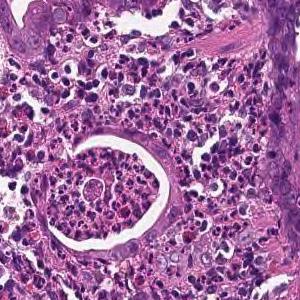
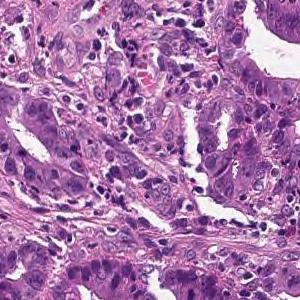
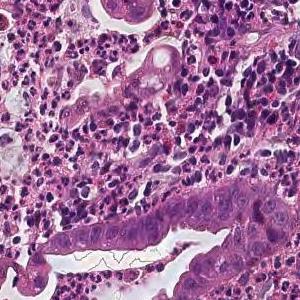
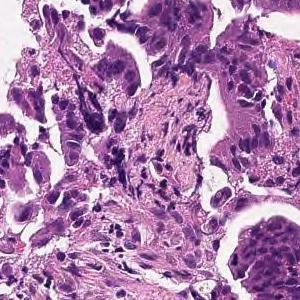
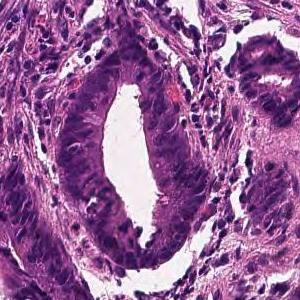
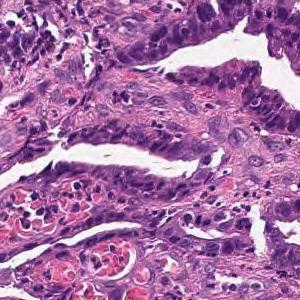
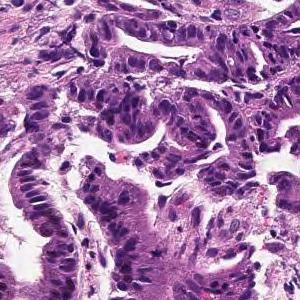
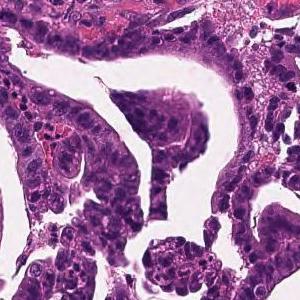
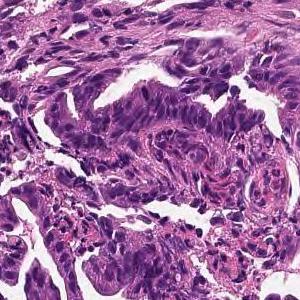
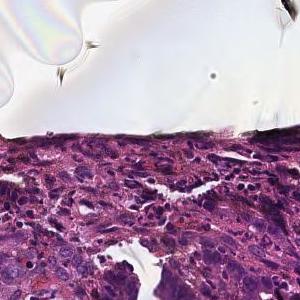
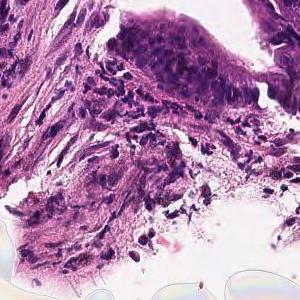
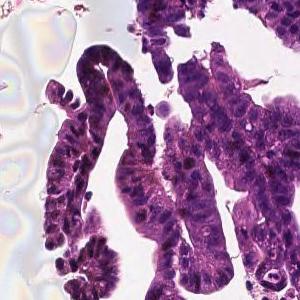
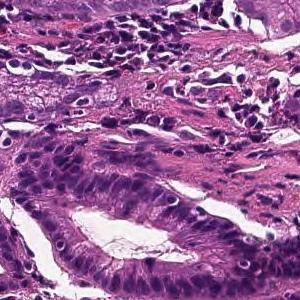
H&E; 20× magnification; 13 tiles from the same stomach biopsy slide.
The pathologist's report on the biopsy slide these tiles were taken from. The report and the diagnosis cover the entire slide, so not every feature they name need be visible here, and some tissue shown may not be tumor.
From the superficial epithelium to the muscularis mucosae, tumor tissue consisting of medium-sized and irregular glandular ducts infiltrating is observed. Well differentiated tubular adenocarcinoma
